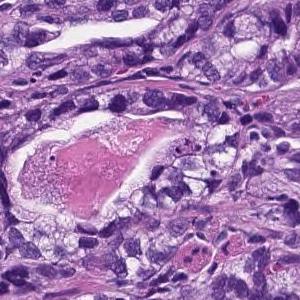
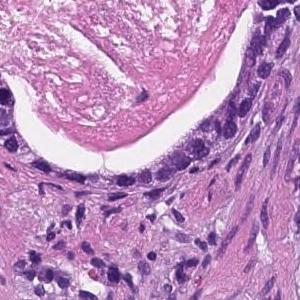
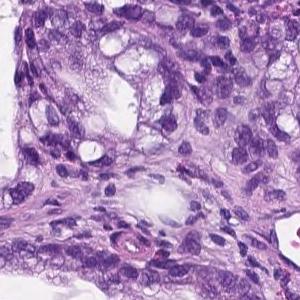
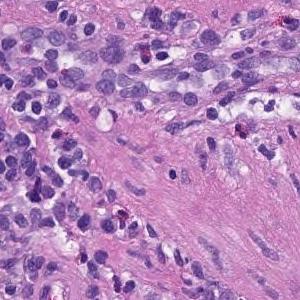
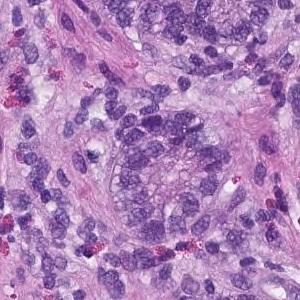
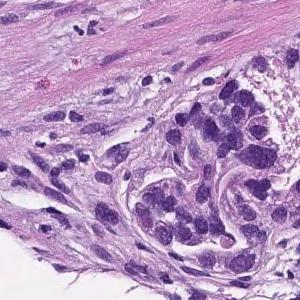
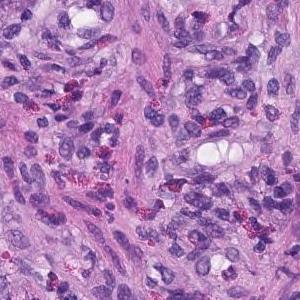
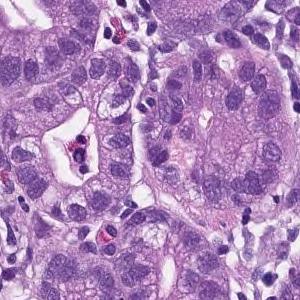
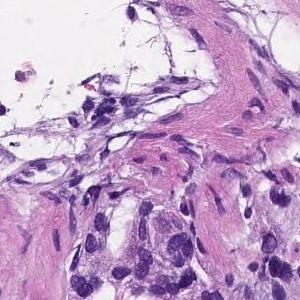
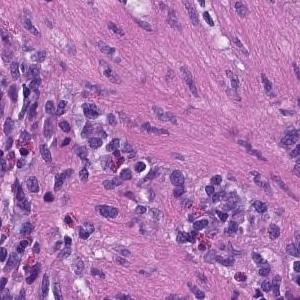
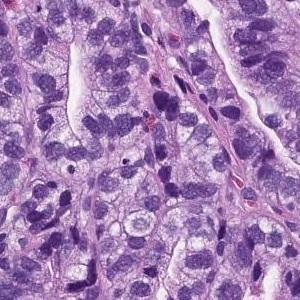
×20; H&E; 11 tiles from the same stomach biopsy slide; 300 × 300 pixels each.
Report on the slide these tiles come from. What the report and the diagnosis say applies to the whole slide; these tiles may miss some of the features named and may include tissue that is not tumor.
From the superficial epithelium to the muscularis mucosae, tumor tissue consisting of medium-sized and irregular glandular ducts infiltrating is observed. Well differentiated tubular adenocarcinoma
